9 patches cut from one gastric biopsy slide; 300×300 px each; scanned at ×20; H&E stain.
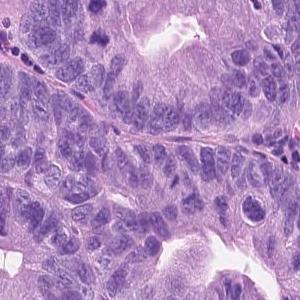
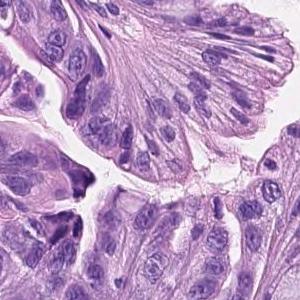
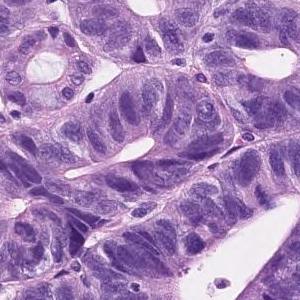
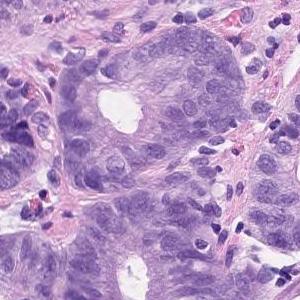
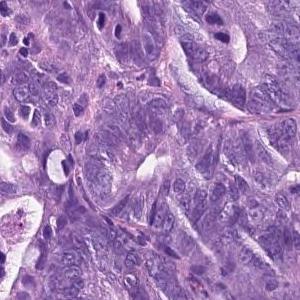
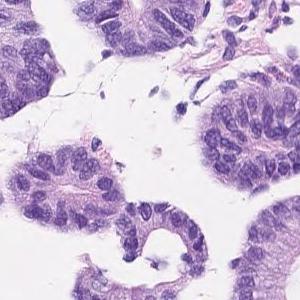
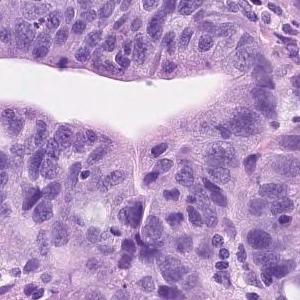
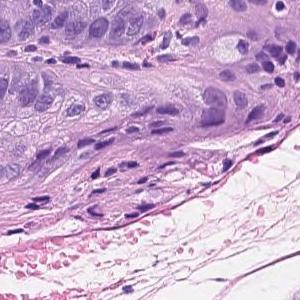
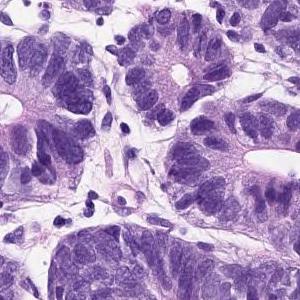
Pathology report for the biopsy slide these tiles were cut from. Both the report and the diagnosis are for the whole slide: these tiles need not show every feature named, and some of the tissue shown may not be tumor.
Tumor tissue consisting of medium-sized and irregular ducts is observed infiltrating in the superficial epithelium. Tumor cells are highly columnar, with nuclei aligned basolaterally and polarized. Well differentiated tubular adenocarcinoma.
